Scanned at ×20, hematoxylin and eosin stain, 8 image tiles from a single gastric biopsy slide, each 300 × 300 pixels.
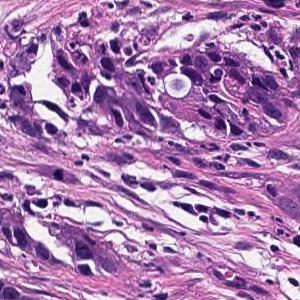
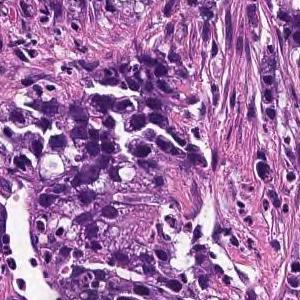
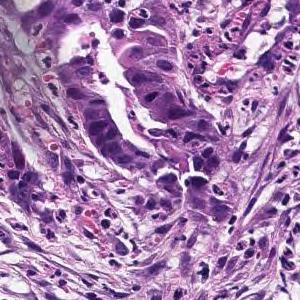
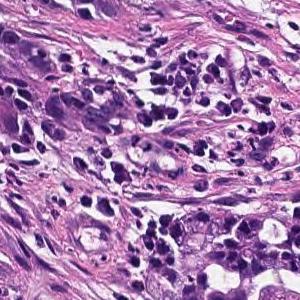
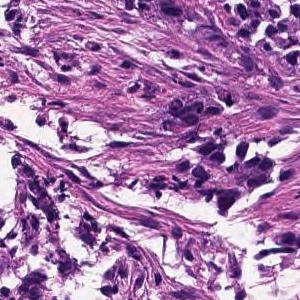
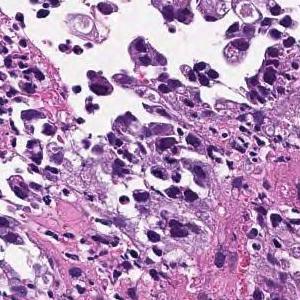
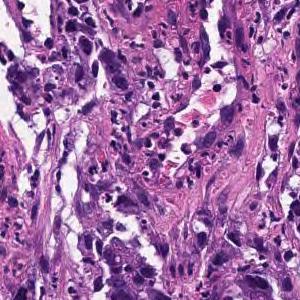
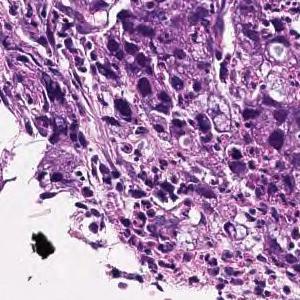
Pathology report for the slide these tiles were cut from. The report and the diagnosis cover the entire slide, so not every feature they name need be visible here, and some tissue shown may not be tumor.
Medium to small, irregular glandular ducts are formed in the superficial epithelium, and in some cases, the glandular ducts are fused to show solid alveolar lesions and infiltrating tumor tissue is observed. Moderately to poorly differentiated adenocarcinoma.
